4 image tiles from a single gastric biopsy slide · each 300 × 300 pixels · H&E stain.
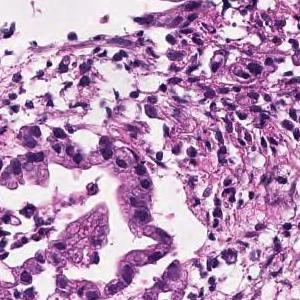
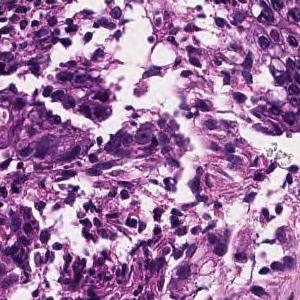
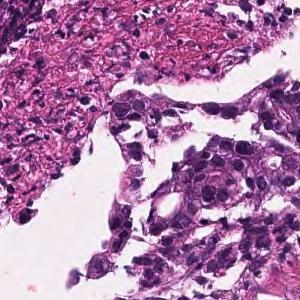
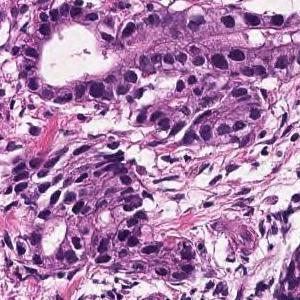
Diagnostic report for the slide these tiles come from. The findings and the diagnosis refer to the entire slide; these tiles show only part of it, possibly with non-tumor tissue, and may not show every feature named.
In the superficial epithelium, medium to small, irregular gland ducts are formed, and in some cases, the gland ducts are fused to show solid alveolar lesions and infiltrating tumor tissue is observed. Moderately to poorly differentiated adenocarcinoma.
